5 tiles from the same stomach biopsy slide.
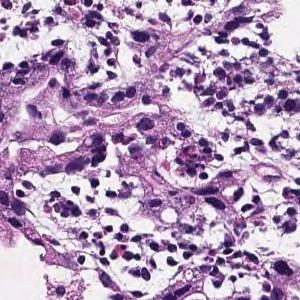
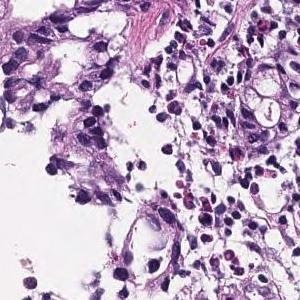
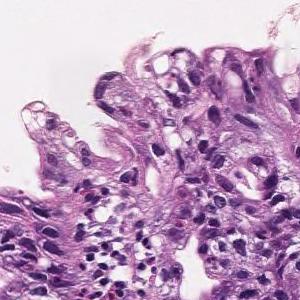
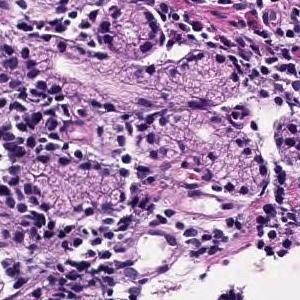
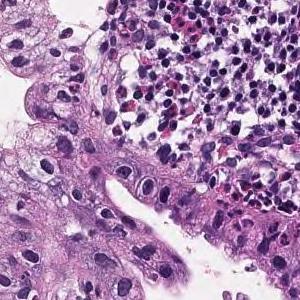
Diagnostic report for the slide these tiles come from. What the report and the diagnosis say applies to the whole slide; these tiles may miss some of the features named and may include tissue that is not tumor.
In the superficial epithelium, tumor tissue that invades by forming medium-sized to small, irregular ducts is observed. moderately differentiated tubular adenocarcinoma.
